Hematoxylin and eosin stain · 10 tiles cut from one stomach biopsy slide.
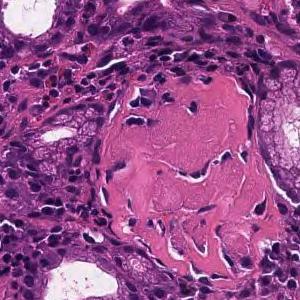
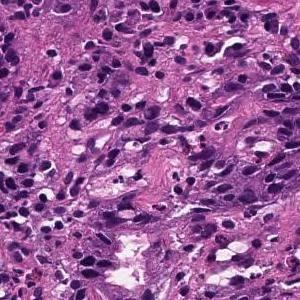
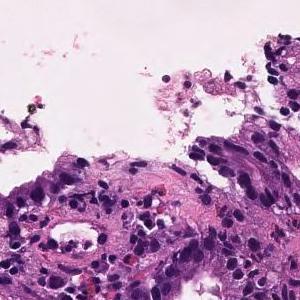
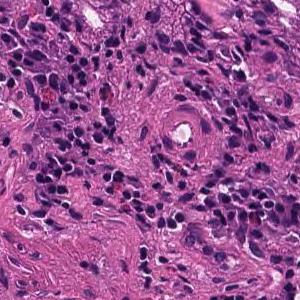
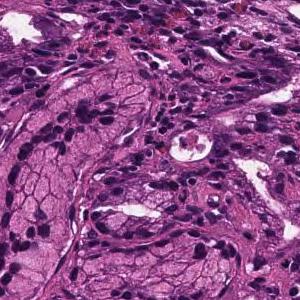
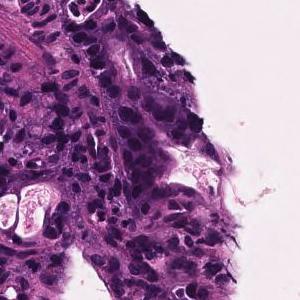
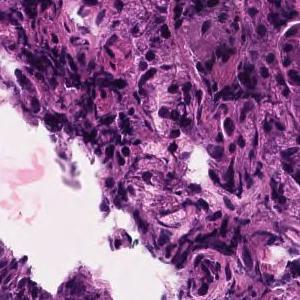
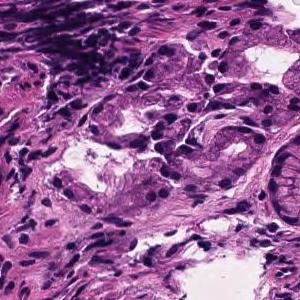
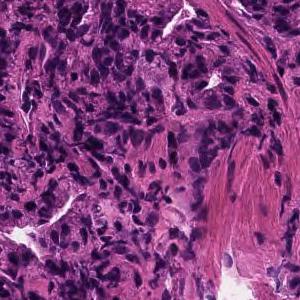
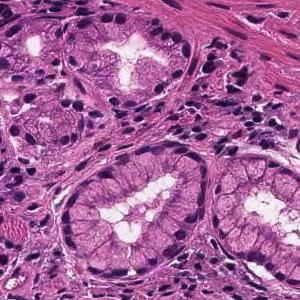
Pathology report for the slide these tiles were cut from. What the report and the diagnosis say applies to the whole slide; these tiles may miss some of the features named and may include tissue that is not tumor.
In the superficial epithelium, tumor tissue that invades by forming medium-sized to small, irregular ducts is observed. moderately differentiated tubular adenocarcinoma.
